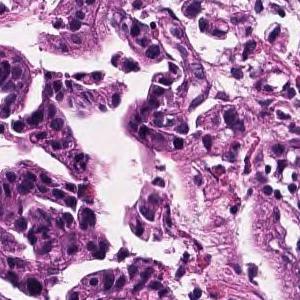
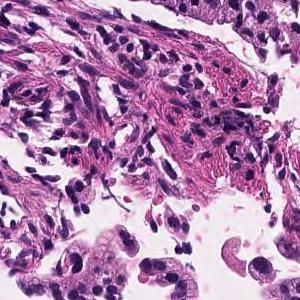
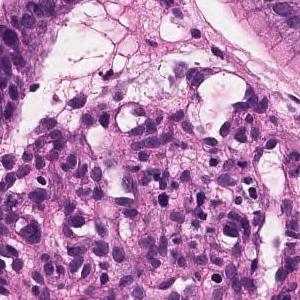
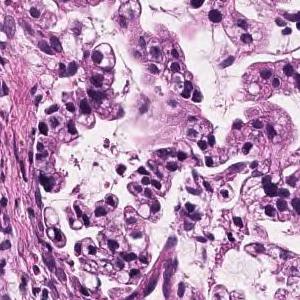
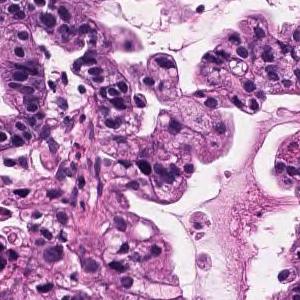
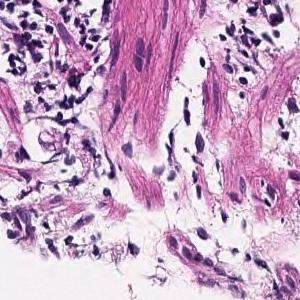
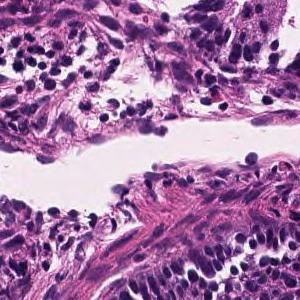
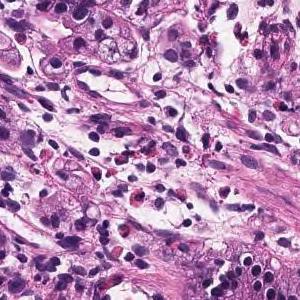
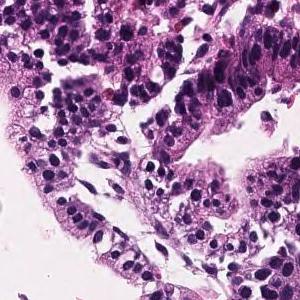
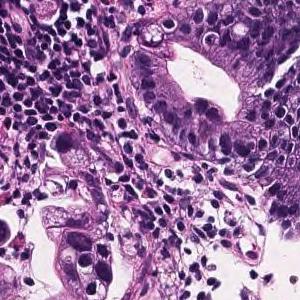
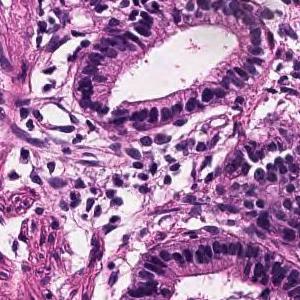
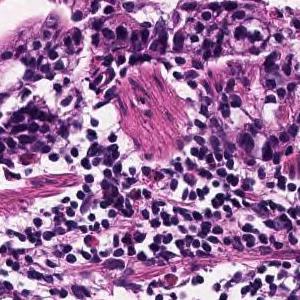
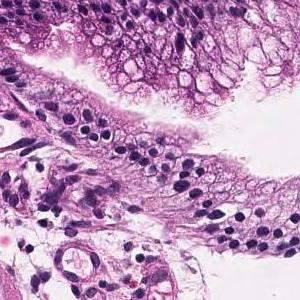
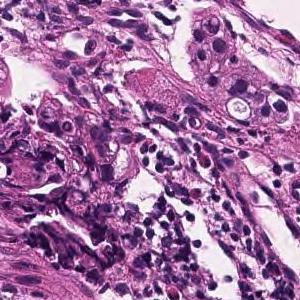
14 tiles from the same stomach biopsy slide; 300×300 px each; ×20.
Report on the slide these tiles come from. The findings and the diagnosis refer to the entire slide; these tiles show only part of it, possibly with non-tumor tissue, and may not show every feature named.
Tumor tissue consisting of large papillary structures or irregular glandular ducts partially fused and infiltrated is observed in the superficial epithelium. Well to moderately differentiated tubular adenocarcinoma.
Dataset label: moderately differentiated tubular adenocarcinoma.
